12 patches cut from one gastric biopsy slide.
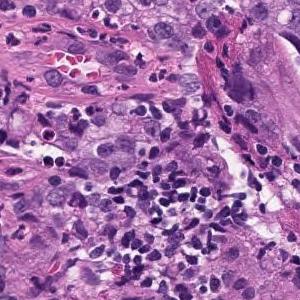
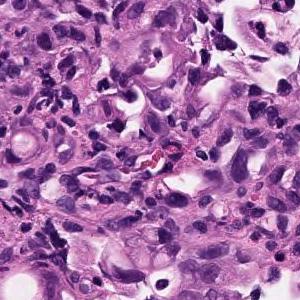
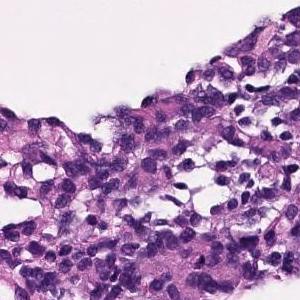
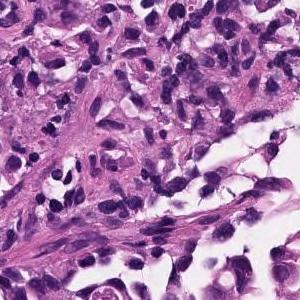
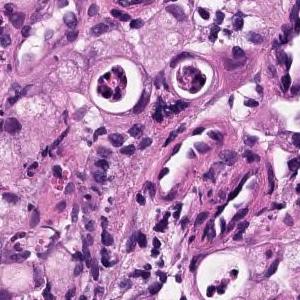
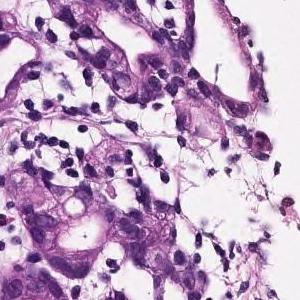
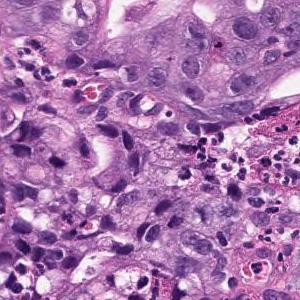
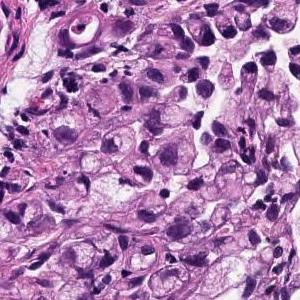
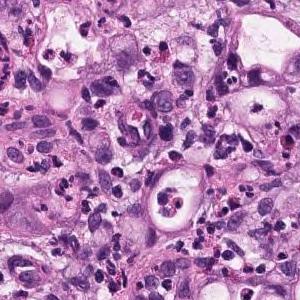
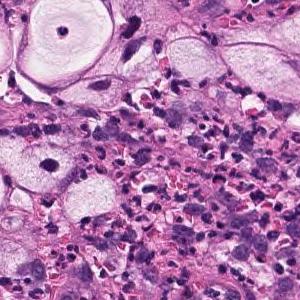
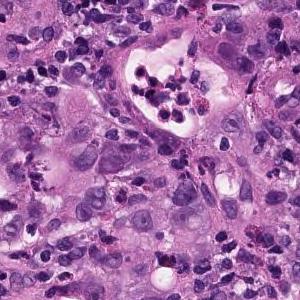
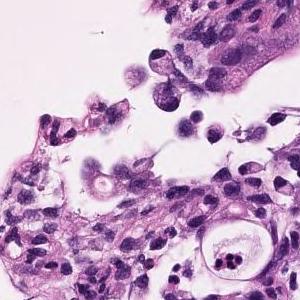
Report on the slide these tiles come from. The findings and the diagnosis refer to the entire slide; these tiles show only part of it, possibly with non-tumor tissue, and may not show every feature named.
Atypical epithelium forms irregularly fused gland ducts and proliferates. Poorly differentiated adenocarcinoma.
Subtype: Poorly differentiated adenocarcinoma, non-solid type.
The term "non-solid type" comes from the Japanese Classification of Gastric Carcinoma.
